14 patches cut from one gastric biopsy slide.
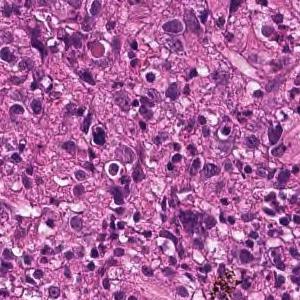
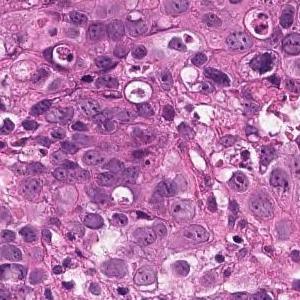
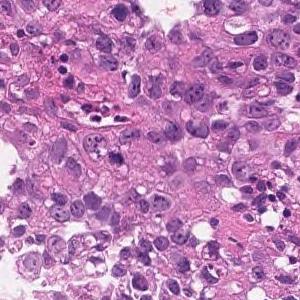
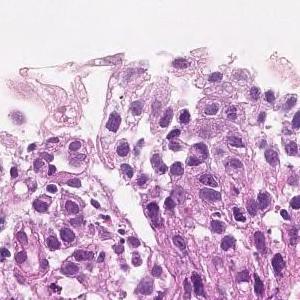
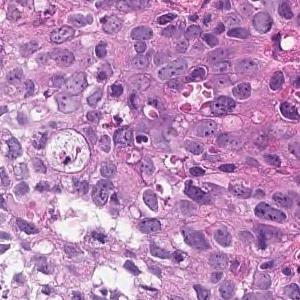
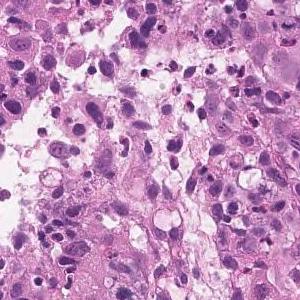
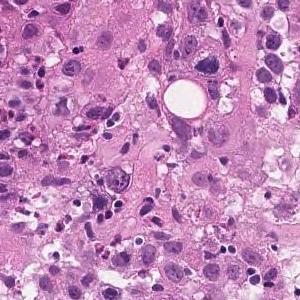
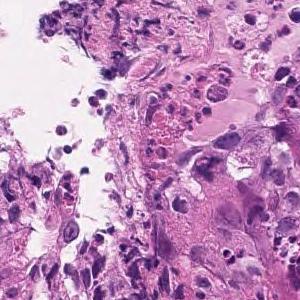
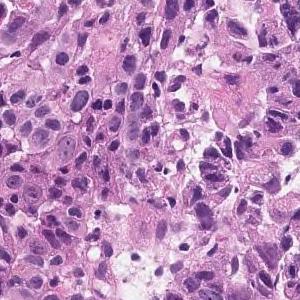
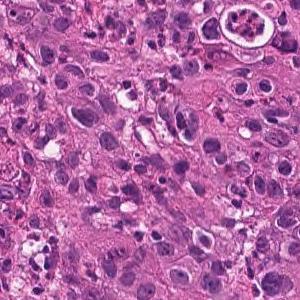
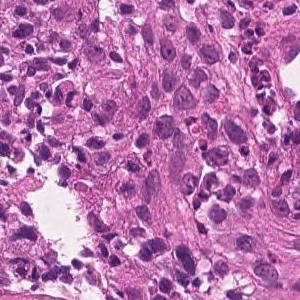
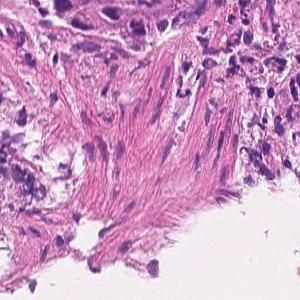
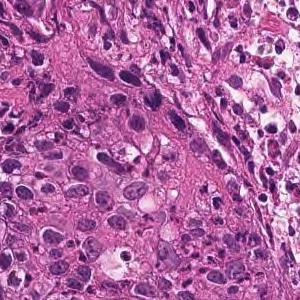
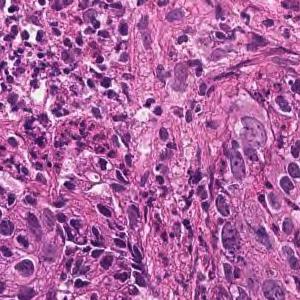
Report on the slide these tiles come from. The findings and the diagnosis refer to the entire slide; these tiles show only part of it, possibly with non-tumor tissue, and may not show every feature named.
The superficial epithelium shows a large sheet-like shape, and some tumor tissue infiltrates with small irregular ducts. Poorly differentiated adenocarcinoma, solid-type
Histologic type: Poorly differentiated adenocarcinoma, solid type (Japanese Classification of Gastric Carcinoma). The WHO 2019 equivalent is tubular adenocarcinoma, poorly differentiated.
